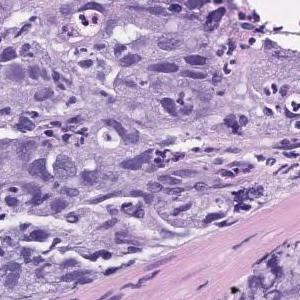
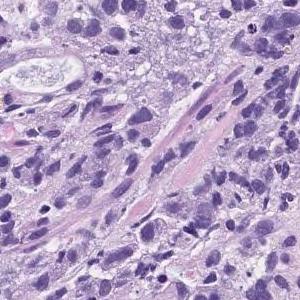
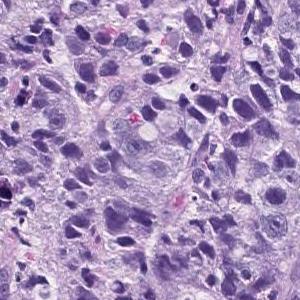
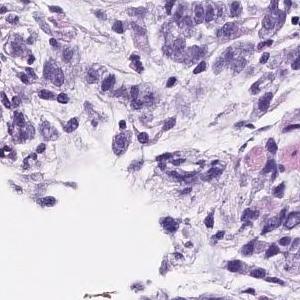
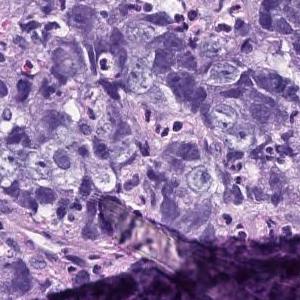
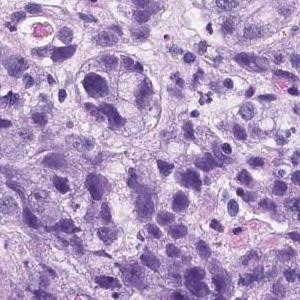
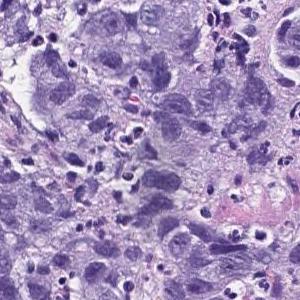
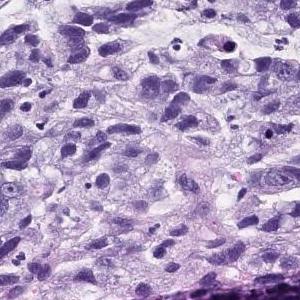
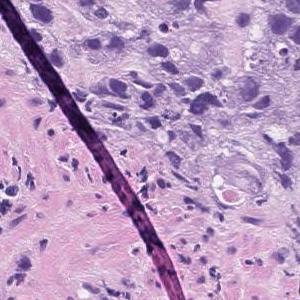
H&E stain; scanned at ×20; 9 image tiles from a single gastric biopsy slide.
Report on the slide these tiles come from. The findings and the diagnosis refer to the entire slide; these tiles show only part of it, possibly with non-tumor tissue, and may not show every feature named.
Atypical l cells with atypical nuclei forming solid vesicles or small irregular atypical ducts that proliferate in a complex manner. poorly differentiated adenocarcinoma, solid type, moderately differentiated tubular adenocarcinoma
The solid type named here is a Japanese Classification of Gastric Carcinoma category; WHO 2019 calls it tubular adenocarcinoma, poorly differentiated.
